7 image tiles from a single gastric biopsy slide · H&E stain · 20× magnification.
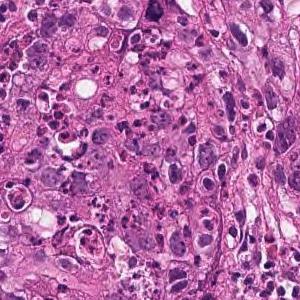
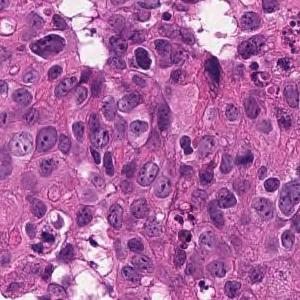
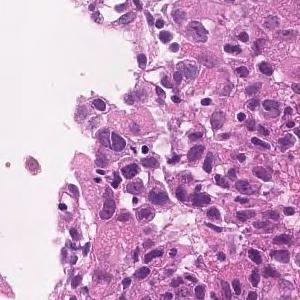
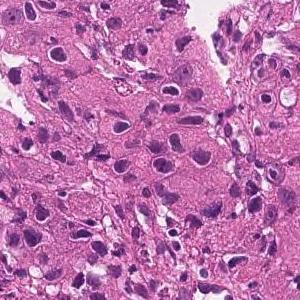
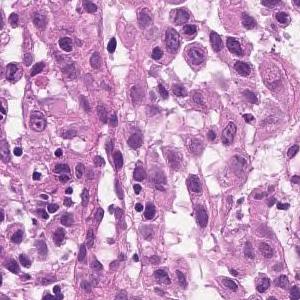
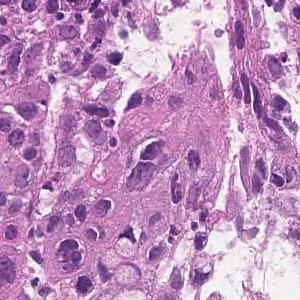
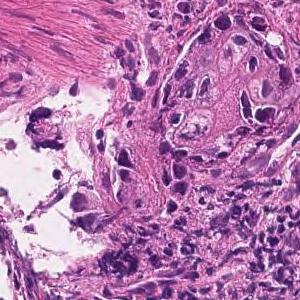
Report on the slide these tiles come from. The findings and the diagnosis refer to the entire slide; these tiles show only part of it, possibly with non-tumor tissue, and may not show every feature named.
The superficial epithelium shows a large sheet-like shape, and some tumor tissue infiltrates with small irregular ducts. Poorly differentiated adenocarcinoma, solid-type
Histological subtype: Poorly differentiated adenocarcinoma, solid type. This name comes from the Japanese Classification of Gastric Carcinoma; the WHO 2019 classification calls it tubular adenocarcinoma, poorly differentiated.
